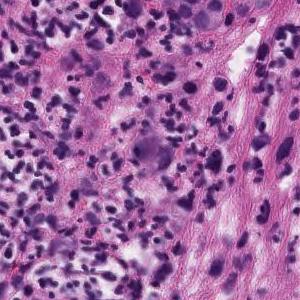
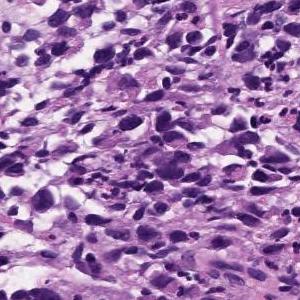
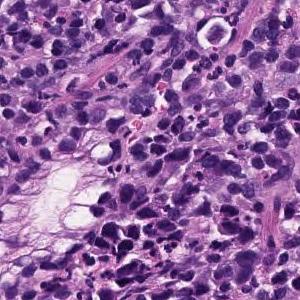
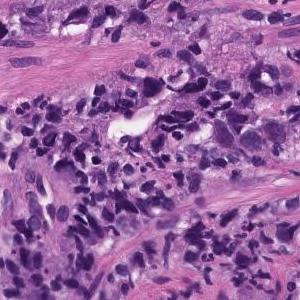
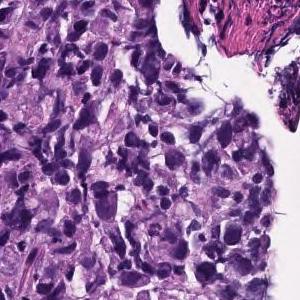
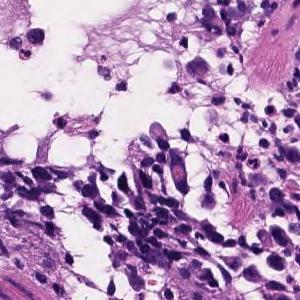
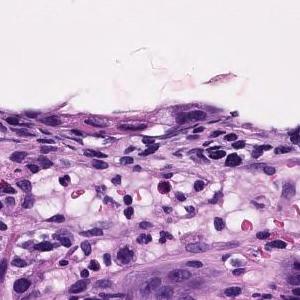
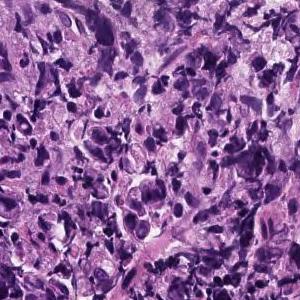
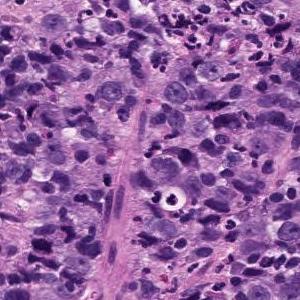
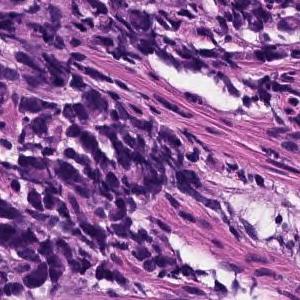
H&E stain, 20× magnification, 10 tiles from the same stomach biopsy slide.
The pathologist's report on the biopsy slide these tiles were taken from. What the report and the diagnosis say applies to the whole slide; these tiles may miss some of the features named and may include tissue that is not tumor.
Poorly differentiated, solid adenocarcinoma (poorly differentiated adenocarcinoma, solid type) with tumor tissue diffusely infiltrated with atypical epithelial cells
Histological subtype: Poorly differentiated adenocarcinoma, solid type. This name comes from the Japanese Classification of Gastric Carcinoma; the WHO 2019 classification calls it tubular adenocarcinoma, poorly differentiated.
